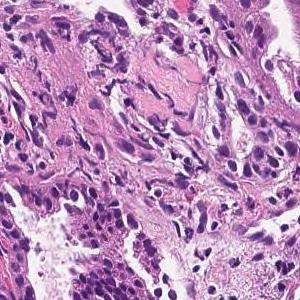
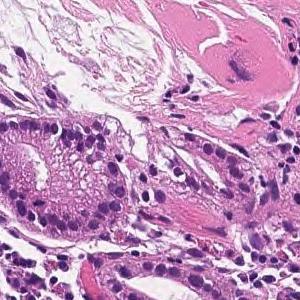
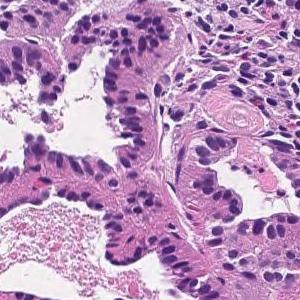
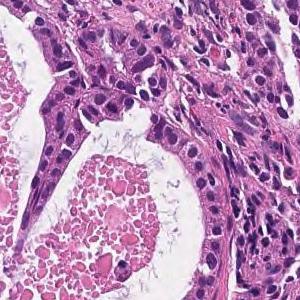
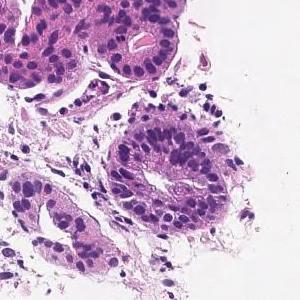
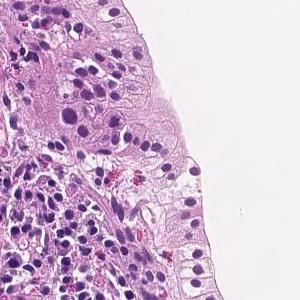
H&E stain; 20× magnification; 6 patches cut from one gastric biopsy slide.
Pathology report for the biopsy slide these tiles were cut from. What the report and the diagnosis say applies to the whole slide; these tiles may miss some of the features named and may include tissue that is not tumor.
On the superficial epithelium, tumor tissue that infiltrates by forming medium-sized papillary or small irregular ducts is observed. Papillary adenocarcinoma (Papillary adenocarcinoma)
Subtype: Papillary adenocarcinoma.
